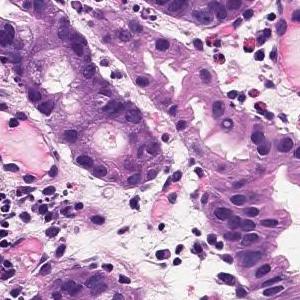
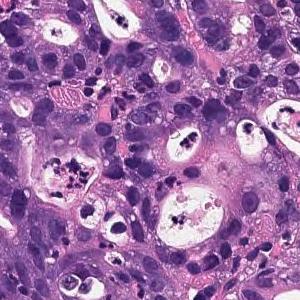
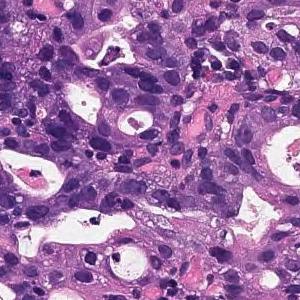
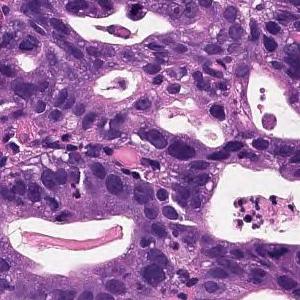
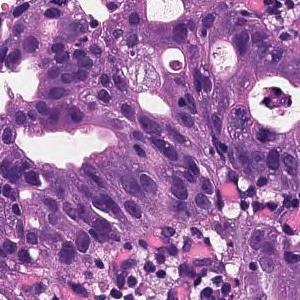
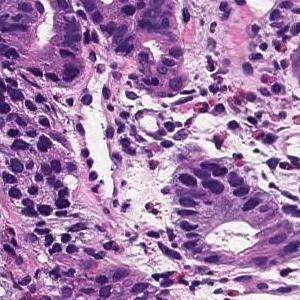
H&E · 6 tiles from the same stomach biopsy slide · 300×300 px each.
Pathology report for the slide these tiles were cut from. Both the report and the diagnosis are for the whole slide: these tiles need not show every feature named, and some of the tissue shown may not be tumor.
On the superficial epithelium, tumor tissue consisting of large, irregular glandular ducts partially fused and infiltrated is observed. Well to moderately differentiated tubular adenocarcinoma (well differentiated tubular adenocarcinoma, moderately differentiated tubular adenocarcinoma)
Histological subtype: Well to moderately differentiated tubular adenocarcinoma.
